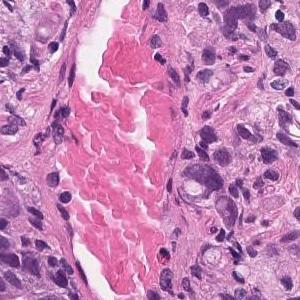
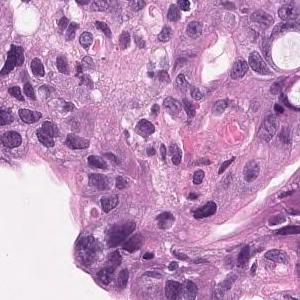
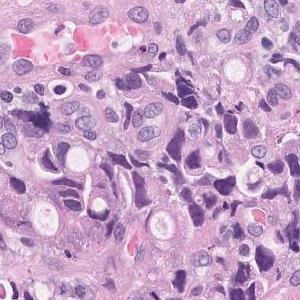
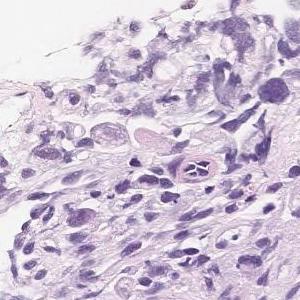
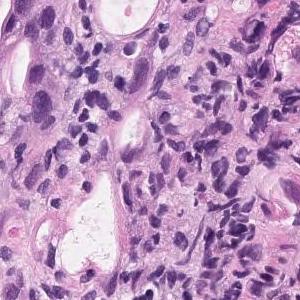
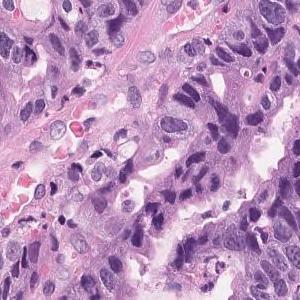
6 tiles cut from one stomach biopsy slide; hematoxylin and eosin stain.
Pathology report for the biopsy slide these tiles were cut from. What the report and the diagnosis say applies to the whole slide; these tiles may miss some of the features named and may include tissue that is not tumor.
Tumor tissue consisting of medium-sized, cord-like or irregular glandular infiltration is observed in the superficial epithelium. Poorly differentiated adenocarcinoma, non-solid type or moderately differentiated tubular adenocarcinoma
The dataset labels this slide poorly differentiated adenocarcinoma, non-solid type.
"Non-solid type" is a category of the Japanese Classification of Gastric Carcinoma.
